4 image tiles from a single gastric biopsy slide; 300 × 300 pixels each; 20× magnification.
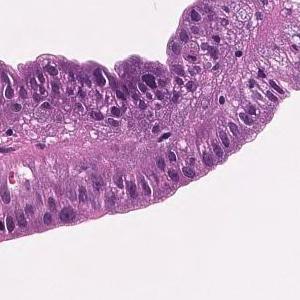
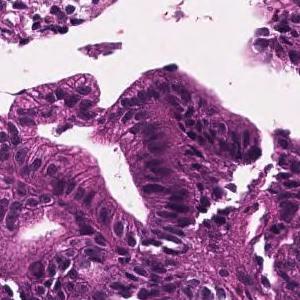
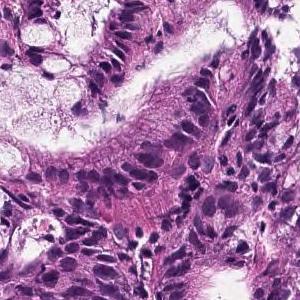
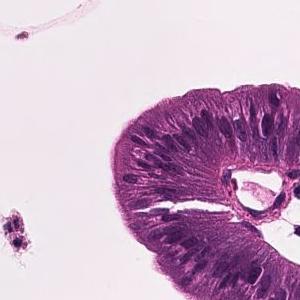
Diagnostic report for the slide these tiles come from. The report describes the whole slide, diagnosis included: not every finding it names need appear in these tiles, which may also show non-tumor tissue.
In the superficial epithelium, tumor tissue that invades by forming medium-sized to small, irregular ducts is observed. Well differentiated tubular adenocarcinoma.
